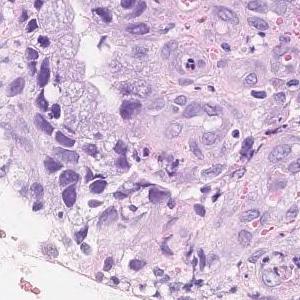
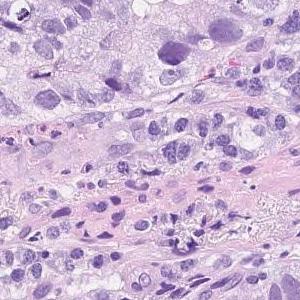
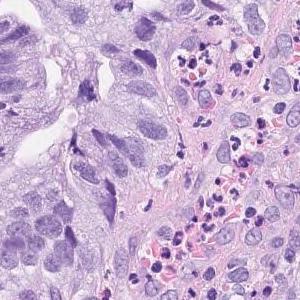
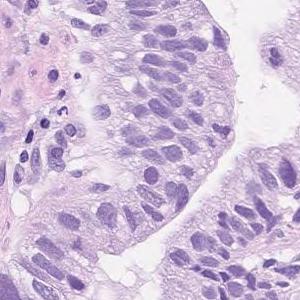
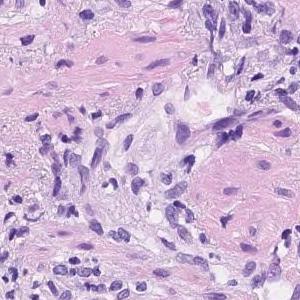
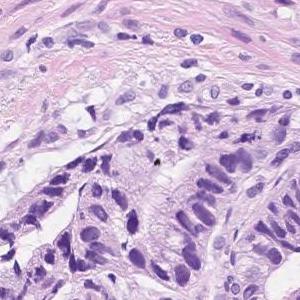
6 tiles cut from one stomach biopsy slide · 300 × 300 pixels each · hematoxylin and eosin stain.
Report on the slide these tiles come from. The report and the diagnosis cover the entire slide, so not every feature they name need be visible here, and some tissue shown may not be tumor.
Atypical l cells with atypical nuclei forming solid or diffuse vesicles or small irregular atypical ducts and growing in a complex manner. moderately differentiated tubular adenocarcinoma
